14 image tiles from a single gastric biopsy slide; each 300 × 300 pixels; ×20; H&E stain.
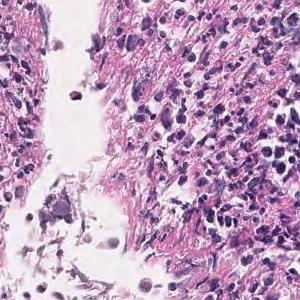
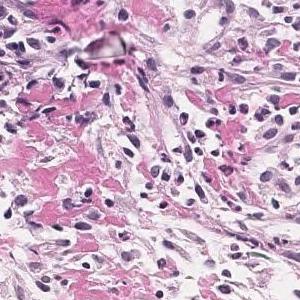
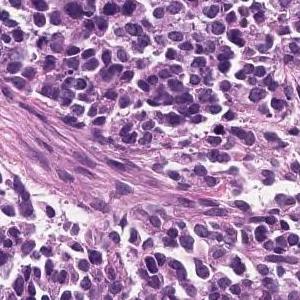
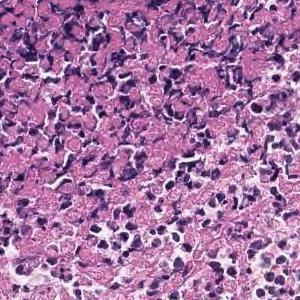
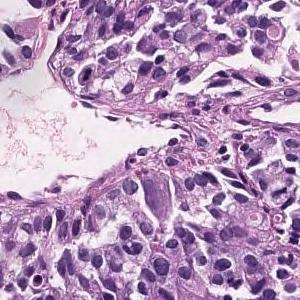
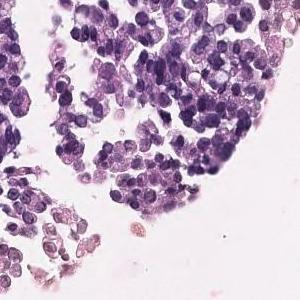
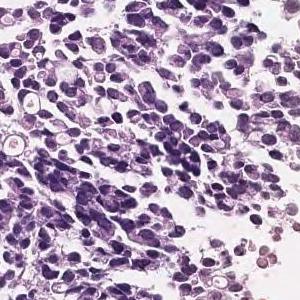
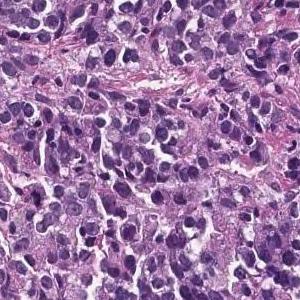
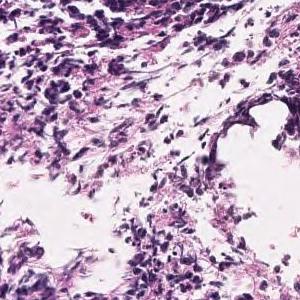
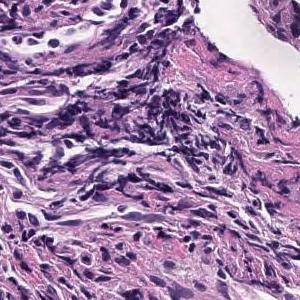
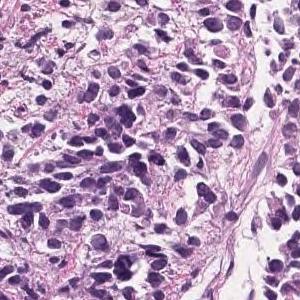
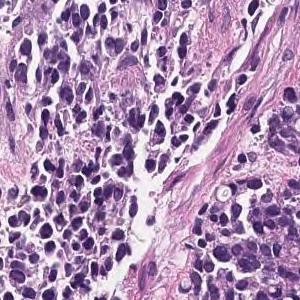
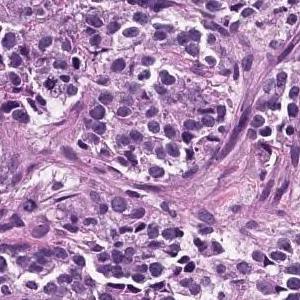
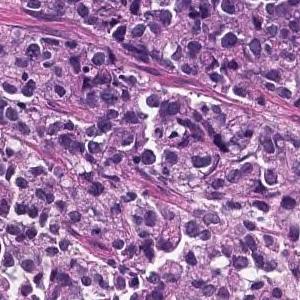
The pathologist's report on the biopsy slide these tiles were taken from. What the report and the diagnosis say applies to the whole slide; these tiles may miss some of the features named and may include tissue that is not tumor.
The superficial epithelium shows a large sheet-like shape, and some tumor tissue infiltrates with small irregular ducts. Poorly differentiated adenocarcinoma, solid-type
Subtype: Poorly differentiated adenocarcinoma, solid type. This name comes from the Japanese Classification of Gastric Carcinoma; the WHO 2019 classification calls it tubular adenocarcinoma, poorly differentiated.
